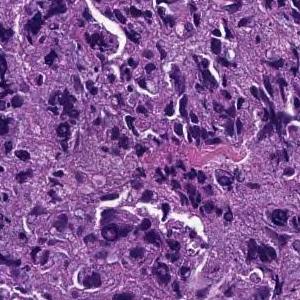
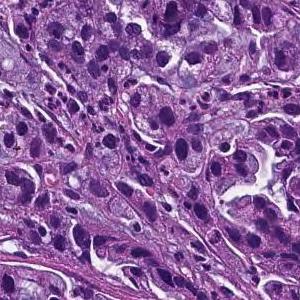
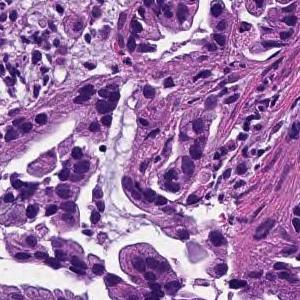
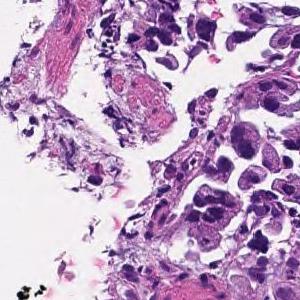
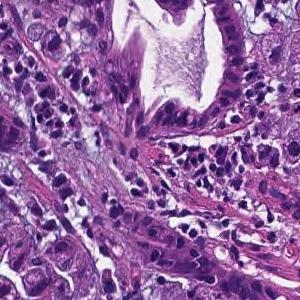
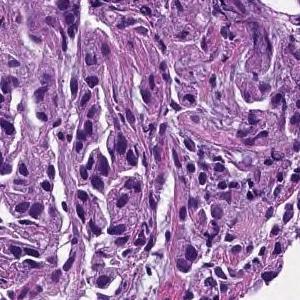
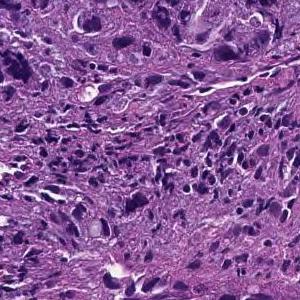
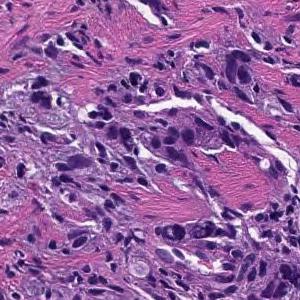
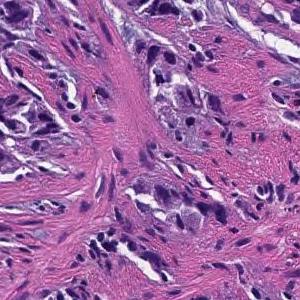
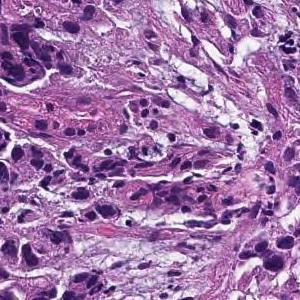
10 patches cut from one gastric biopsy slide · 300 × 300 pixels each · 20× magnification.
Pathology report for the slide these tiles were cut from. The report describes the whole slide, diagnosis included: not every finding it names need appear in these tiles, which may also show non-tumor tissue.
Tumor tissue consisting of medium-sized, cord-like or irregular glandular infiltration is observed in the superficial epithelium. Poorly differentiated adenocarcinoma, non-solid type or moderately differentiated tubular adenocarcinoma
Subtype: Moderately to poorly differentiated adenocarcinoma.
The non-solid type named here is a Japanese Classification of Gastric Carcinoma category.
